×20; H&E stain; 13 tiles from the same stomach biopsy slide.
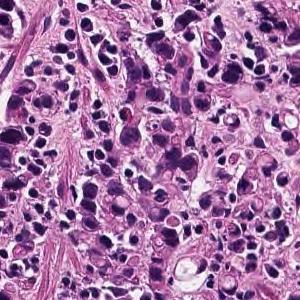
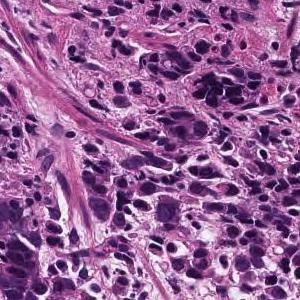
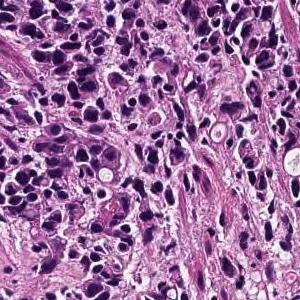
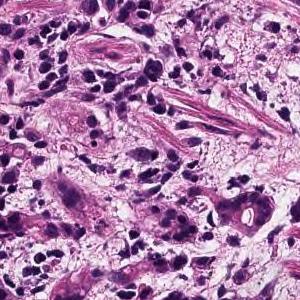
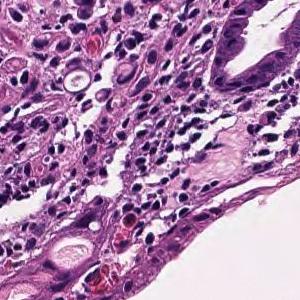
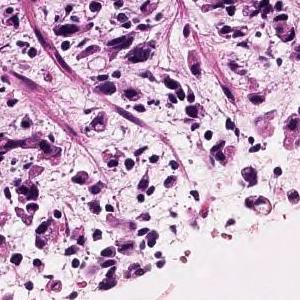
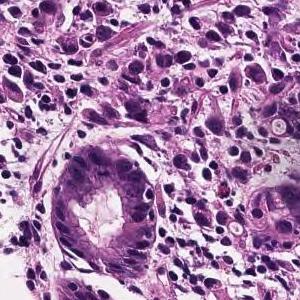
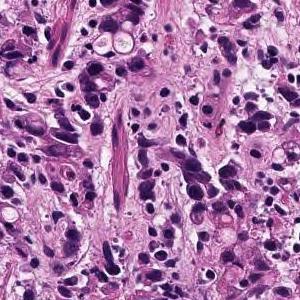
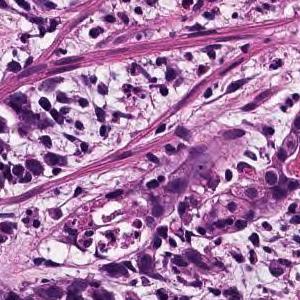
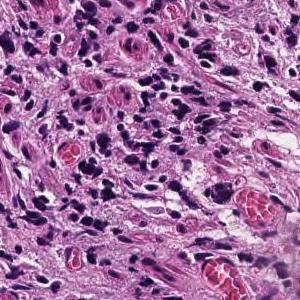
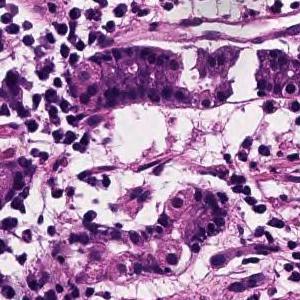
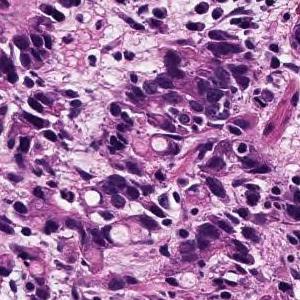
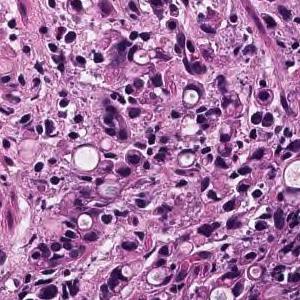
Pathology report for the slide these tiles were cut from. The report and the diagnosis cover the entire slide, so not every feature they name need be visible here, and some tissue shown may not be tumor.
Tumor tissue consisting of cord-like or small, irregular glandular ducts fused and infiltrated is observed in the superficial epithelium. Poorly differentiated adenocarcinoma, non-solid type
The term "non-solid type" comes from the Japanese Classification of Gastric Carcinoma.
